9 patches cut from one gastric biopsy slide, 300 × 300 pixels each, H&E.
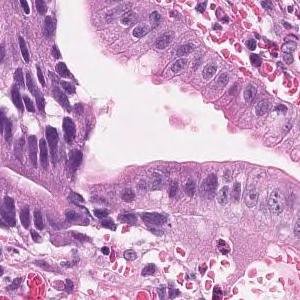
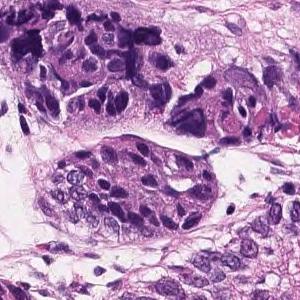
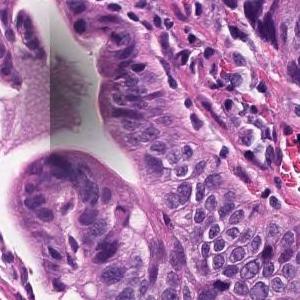
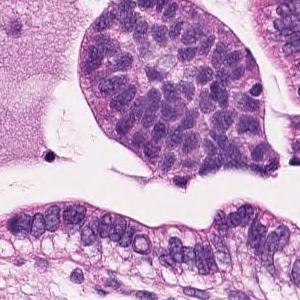
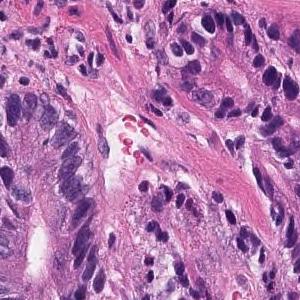
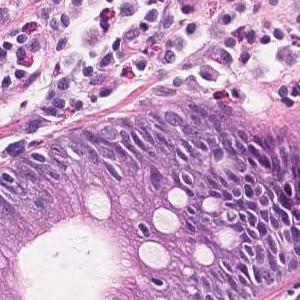
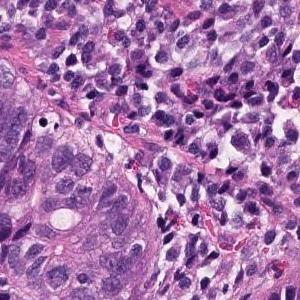
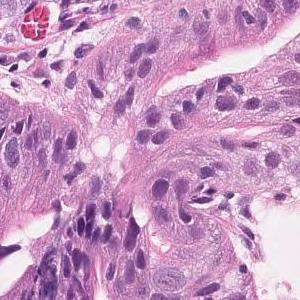
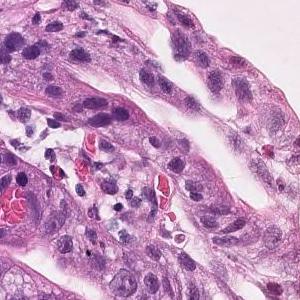
Pathology report for the biopsy slide these tiles were cut from. The report and the diagnosis cover the entire slide, so not every feature they name need be visible here, and some tissue shown may not be tumor.
Tumor cells are large, highly columnar, large club-shaped nuclei, and are associated with chromatin aggregation. Papillary adenocarcinoma.
